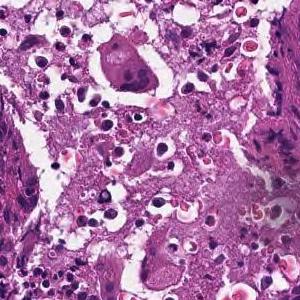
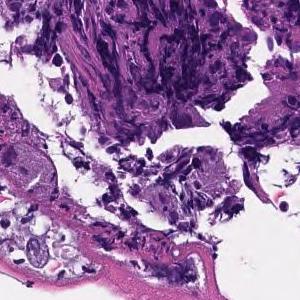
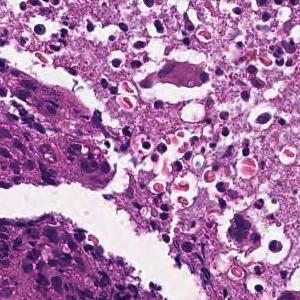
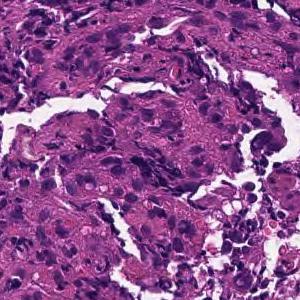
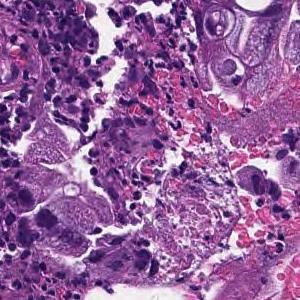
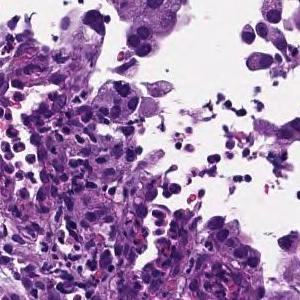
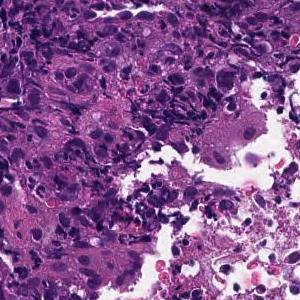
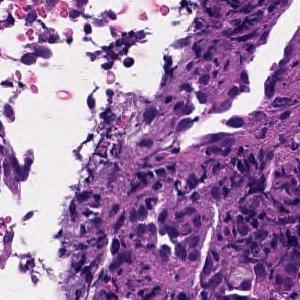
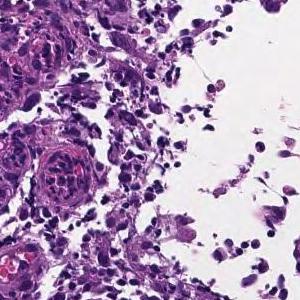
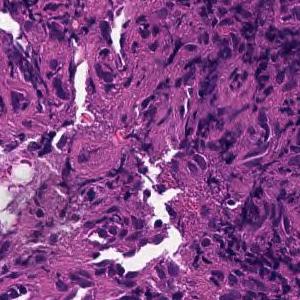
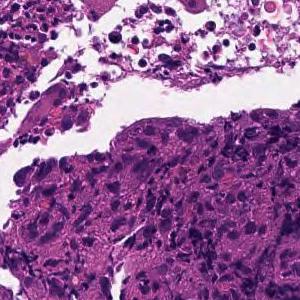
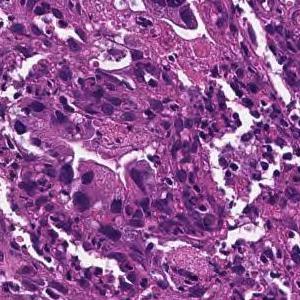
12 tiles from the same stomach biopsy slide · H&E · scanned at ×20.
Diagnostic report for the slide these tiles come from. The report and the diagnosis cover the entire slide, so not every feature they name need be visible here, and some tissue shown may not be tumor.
Tumor cells are medium to large, cuboidal, and have little tendency to differentiate. Poorly differentiated adenocarcinoma, solid-type  or moderately differentiated tubular adenocarcinoma
Dataset label: poorly differentiated adenocarcinoma, solid type. This name comes from the Japanese Classification of Gastric Carcinoma; the WHO 2019 classification calls it tubular adenocarcinoma, poorly differentiated.
